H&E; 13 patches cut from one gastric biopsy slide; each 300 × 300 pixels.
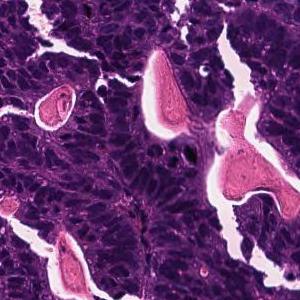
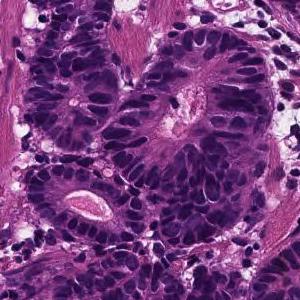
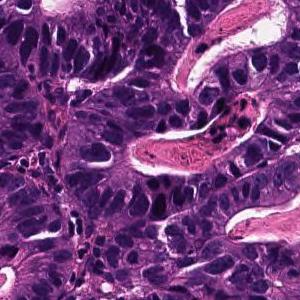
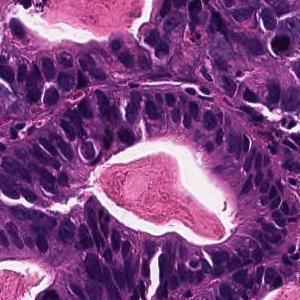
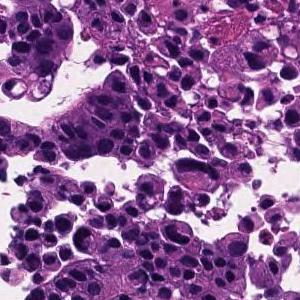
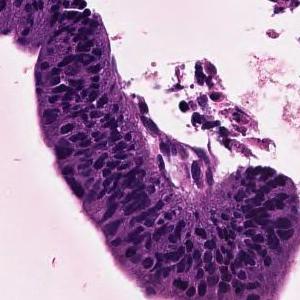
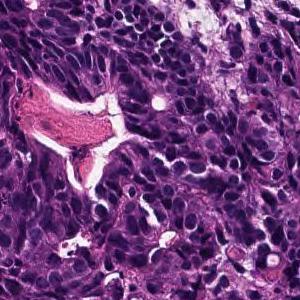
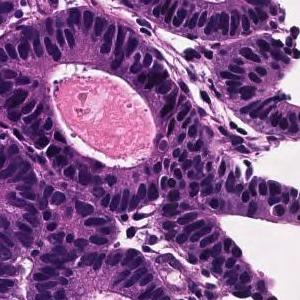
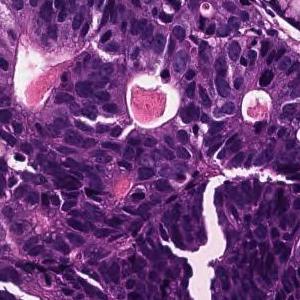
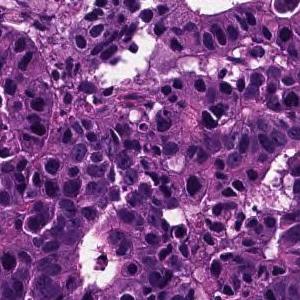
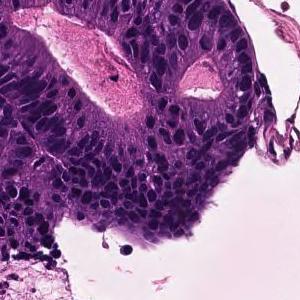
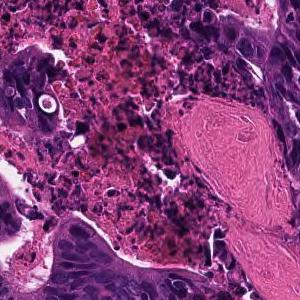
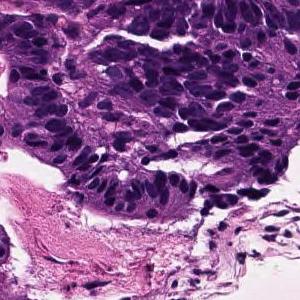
Pathology report for the biopsy slide these tiles were cut from. What the report and the diagnosis say applies to the whole slide; these tiles may miss some of the features named and may include tissue that is not tumor.
In the superficial epithelium, tumor tissue that invades by forming medium-sized to small, irregular ducts is observed. moderately differentiated tubular adenocarcinoma.
